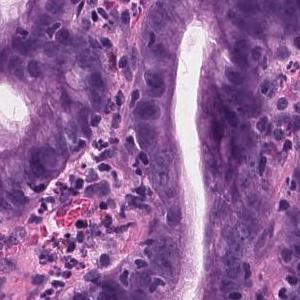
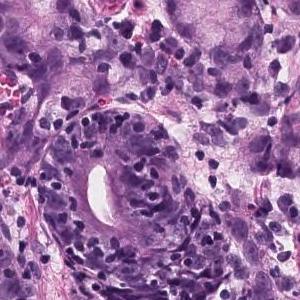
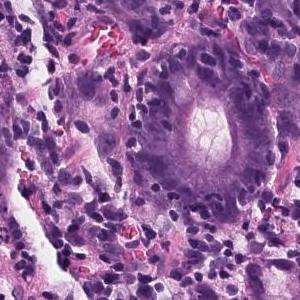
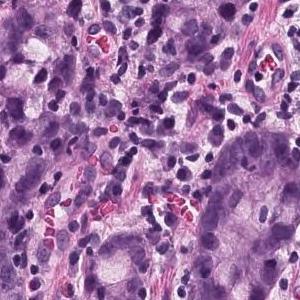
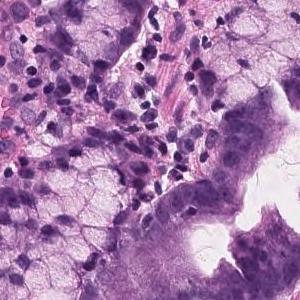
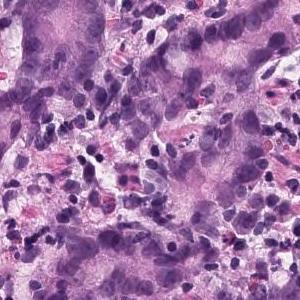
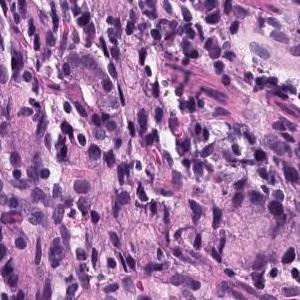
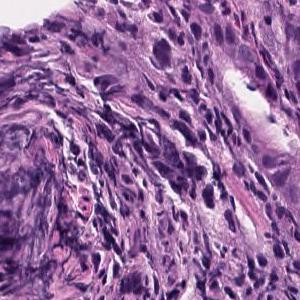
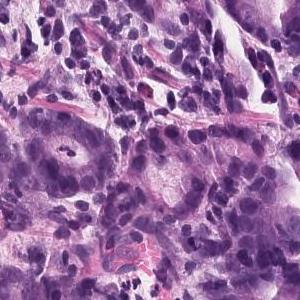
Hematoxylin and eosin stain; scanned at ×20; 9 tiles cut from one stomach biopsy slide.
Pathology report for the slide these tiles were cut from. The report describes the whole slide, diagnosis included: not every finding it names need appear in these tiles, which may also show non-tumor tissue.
In the superficial epithelium, tumor tissue that invades by forming medium-sized to small, irregular ducts is observed. Moderately differentiated adenocarcinoma.
Histological subtype: Moderately differentiated tubular adenocarcinoma.
